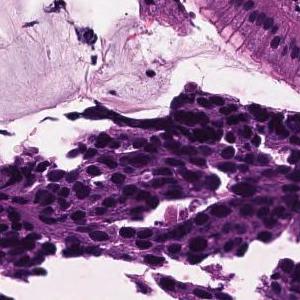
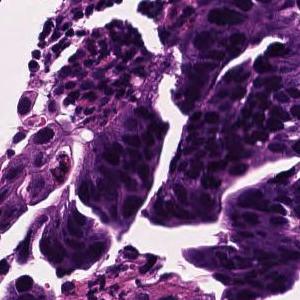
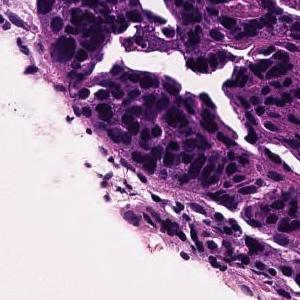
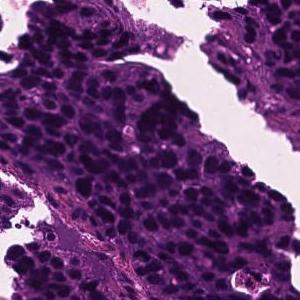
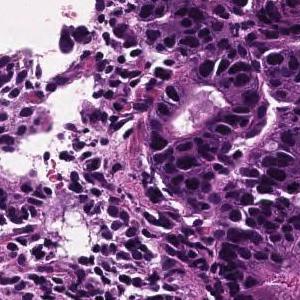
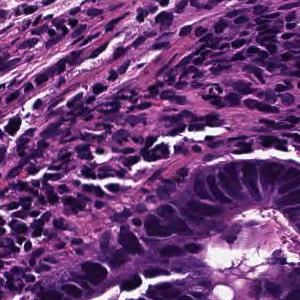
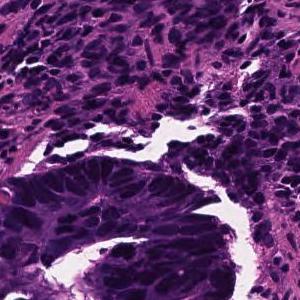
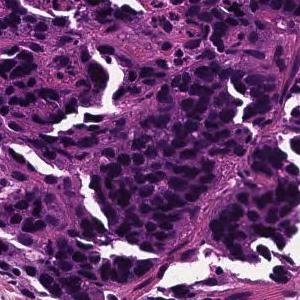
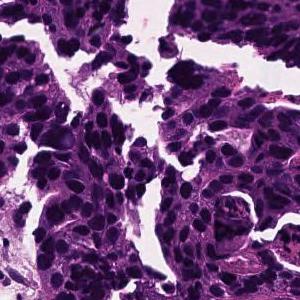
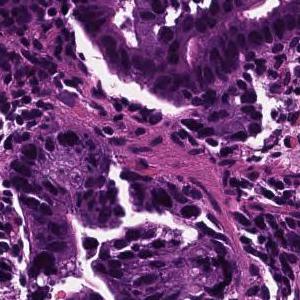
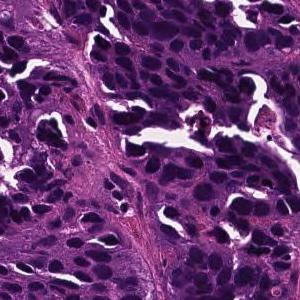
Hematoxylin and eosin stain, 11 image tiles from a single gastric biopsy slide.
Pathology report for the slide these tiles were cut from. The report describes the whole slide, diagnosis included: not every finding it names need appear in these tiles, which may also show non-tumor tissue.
In the superficial epithelium, medium to small irregular gland ducts are formed, and in some cases, the ducts are fused to show solid alveolar lesions and infiltrating tumor tissue is observed. moderately differentiated tubular adenocarcinoma or poorly differentiated adenocarcinoma, solid-type (poorly differentiated adenocarcinoma, solid type)
Dataset label: poorly differentiated adenocarcinoma, solid type. This name comes from the Japanese Classification of Gastric Carcinoma; the WHO 2019 classification calls it tubular adenocarcinoma, poorly differentiated.
